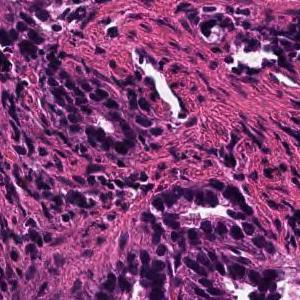
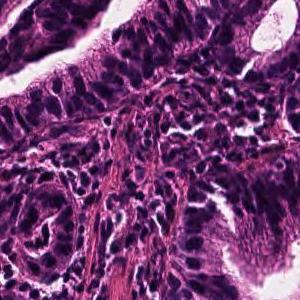
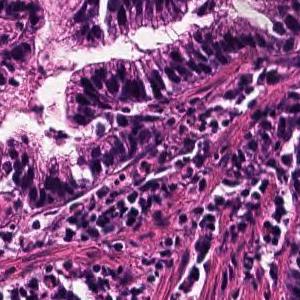
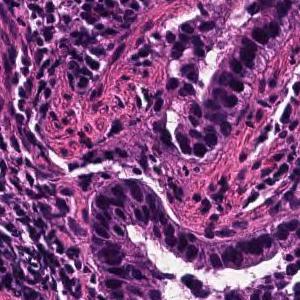
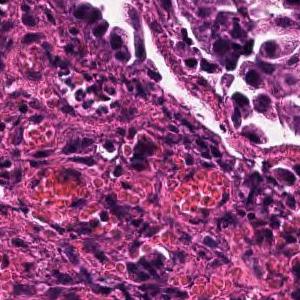
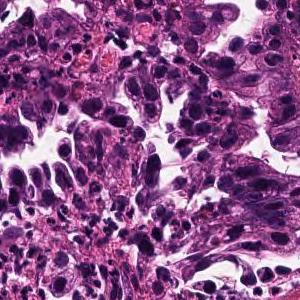
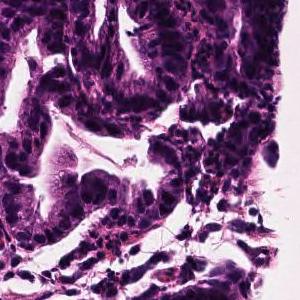
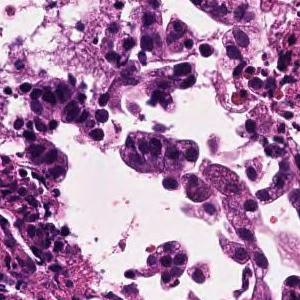
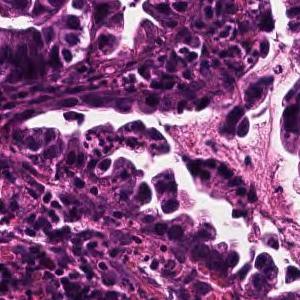
H&E stain; scanned at ×20; 9 image tiles from a single gastric biopsy slide.
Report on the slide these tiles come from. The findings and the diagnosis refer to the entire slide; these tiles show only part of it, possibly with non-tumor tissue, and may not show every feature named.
Tumor tissue consisting of large papillary structures is found in the superficial epithelium. Papillary adenocarcinoma.
